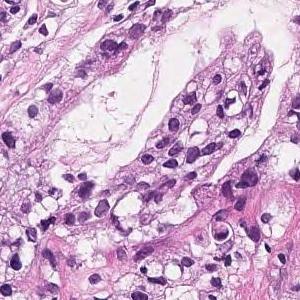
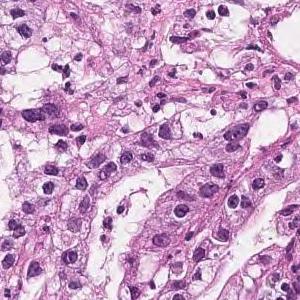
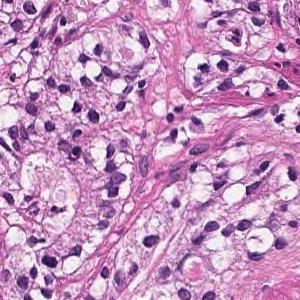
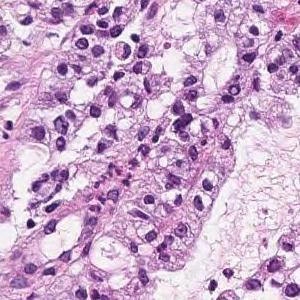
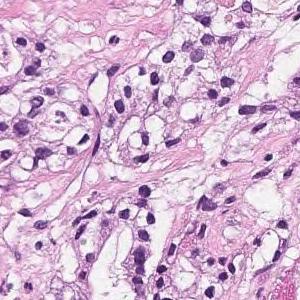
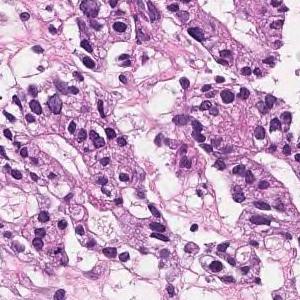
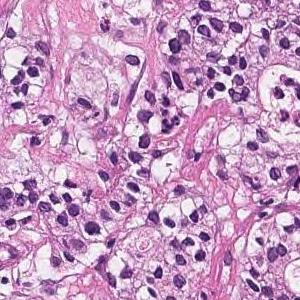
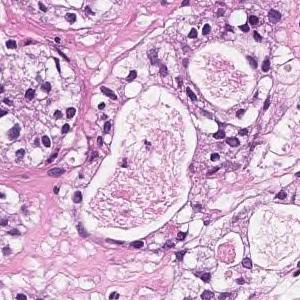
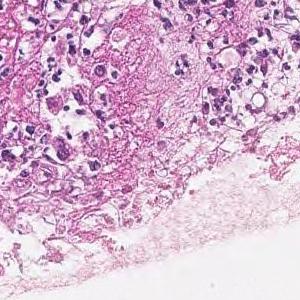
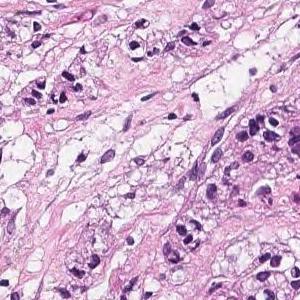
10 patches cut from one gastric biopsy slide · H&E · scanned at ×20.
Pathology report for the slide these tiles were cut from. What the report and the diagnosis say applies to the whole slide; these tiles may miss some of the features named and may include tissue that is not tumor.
In the superficial epithelium, tumor tissue that invades by forming medium-sized to small, irregular ducts is observed. moderately differentiated tubular adenocarcinoma.
